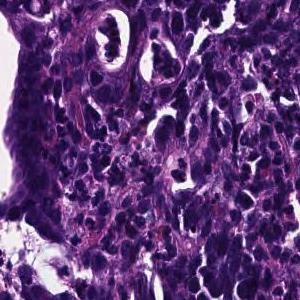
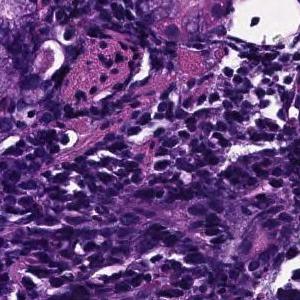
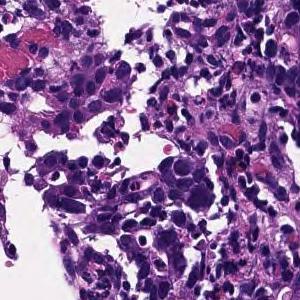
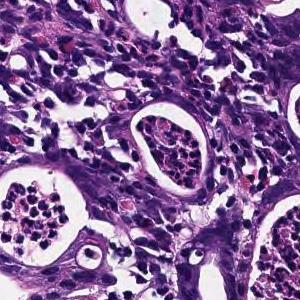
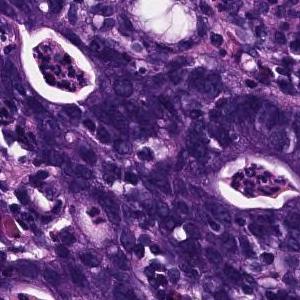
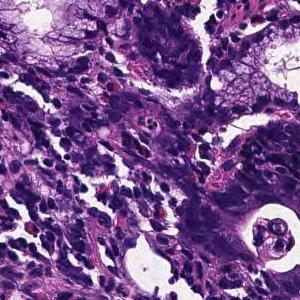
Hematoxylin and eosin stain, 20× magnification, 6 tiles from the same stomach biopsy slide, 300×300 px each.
Pathology report for the slide these tiles were cut from. The report and the diagnosis cover the entire slide, so not every feature they name need be visible here, and some tissue shown may not be tumor.
In the superficial epithelium, tumor tissue that invades by forming medium-sized to small, irregular ducts is observed. moderately differentiated tubular adenocarcinoma.
